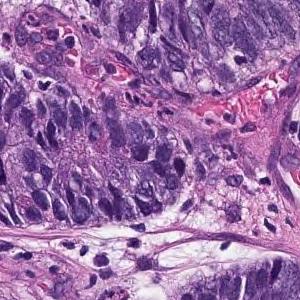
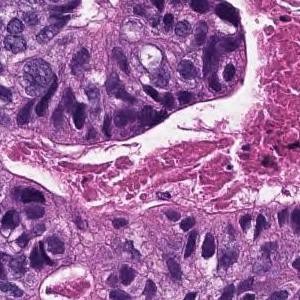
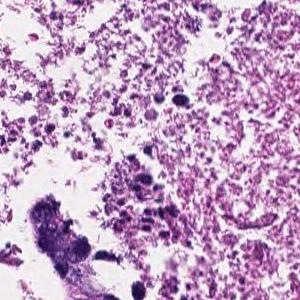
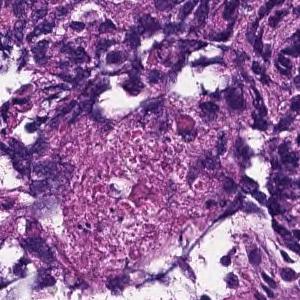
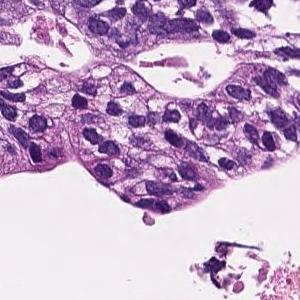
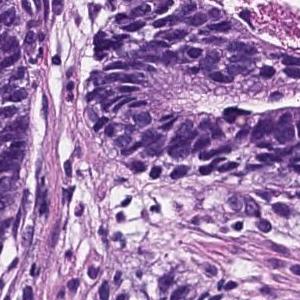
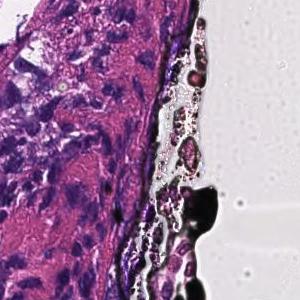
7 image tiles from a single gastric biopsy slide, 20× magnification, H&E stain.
Report on the slide these tiles come from. Both the report and the diagnosis are for the whole slide: these tiles need not show every feature named, and some of the tissue shown may not be tumor.
In the superficial epithelium, tumor tissue that invades by forming medium-sized to small, irregular ducts is observed. moderately differentiated tubular adenocarcinoma.
